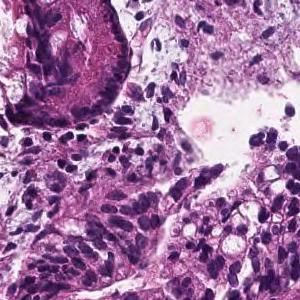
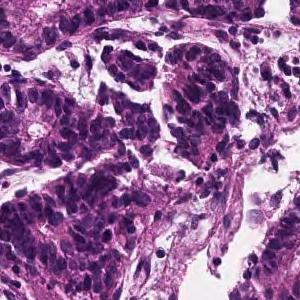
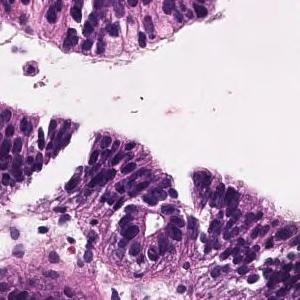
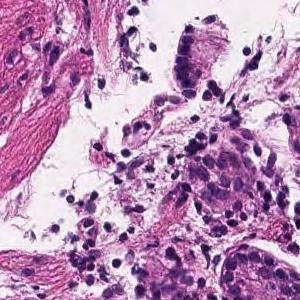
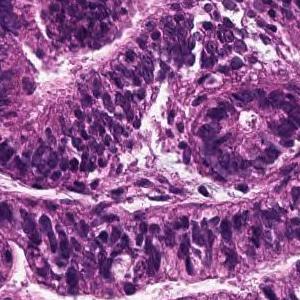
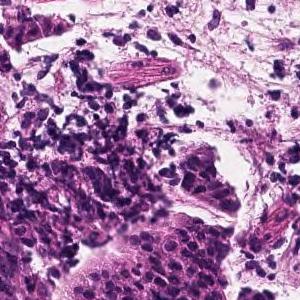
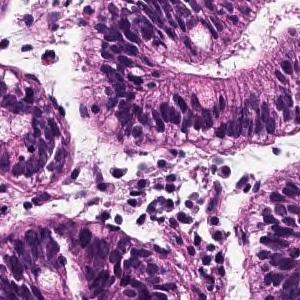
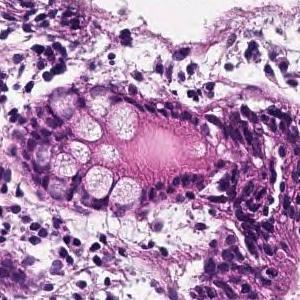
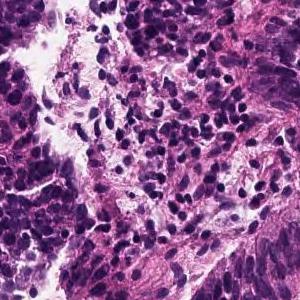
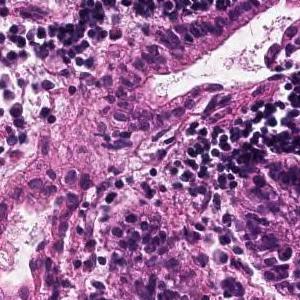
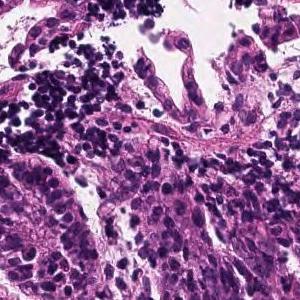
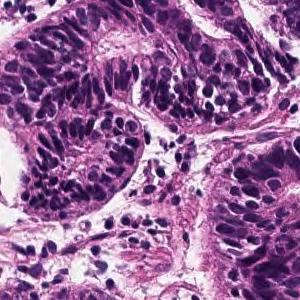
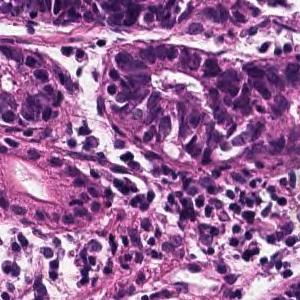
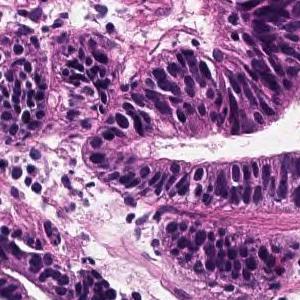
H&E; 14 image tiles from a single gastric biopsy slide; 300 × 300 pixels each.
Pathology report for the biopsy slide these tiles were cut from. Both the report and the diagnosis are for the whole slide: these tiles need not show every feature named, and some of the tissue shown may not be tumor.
Tumor cells are large, highly columnar, large club-shaped nuclei, and are associated with chromatin aggregation. Papillary adenocarcinoma.
